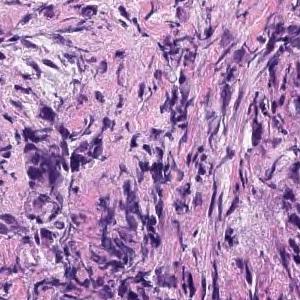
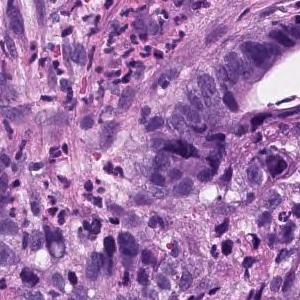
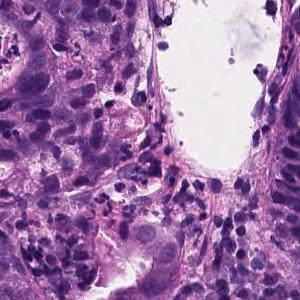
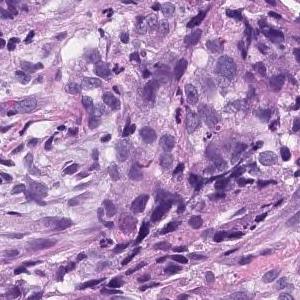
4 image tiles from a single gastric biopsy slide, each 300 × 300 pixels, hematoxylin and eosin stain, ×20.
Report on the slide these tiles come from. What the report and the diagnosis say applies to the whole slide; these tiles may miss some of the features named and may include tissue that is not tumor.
Medium to small, irregular glandular ducts are formed in the superficial epithelium, and in some cases, the glandular ducts are fused to show solid alveolar lesions and infiltrating tumor tissue is observed. Moderately to poorly differentiated adenocarcinoma.
